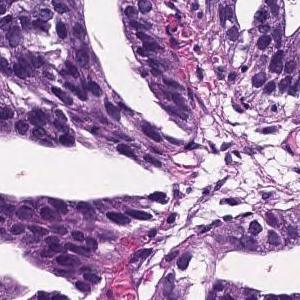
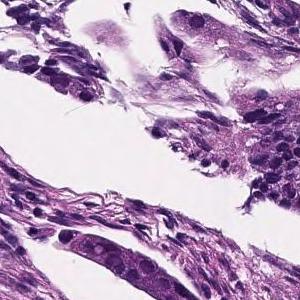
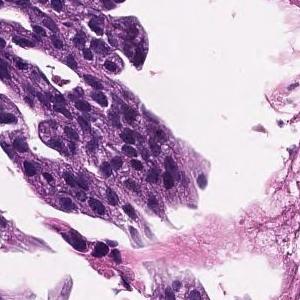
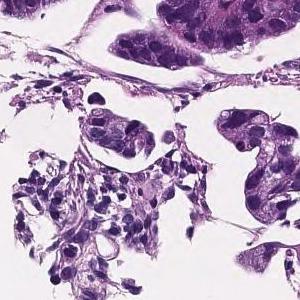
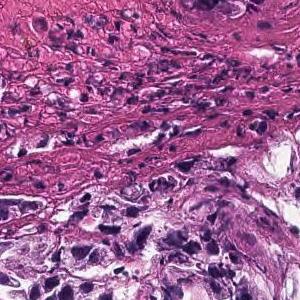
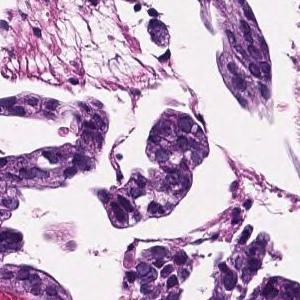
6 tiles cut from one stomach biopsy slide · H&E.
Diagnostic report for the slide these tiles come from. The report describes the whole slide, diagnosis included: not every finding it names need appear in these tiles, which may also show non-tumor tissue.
In the lamina propria, tumor tissue that invades by forming medium-sized to small, irregular glandular ducts is observed. moderately differentiated tubular adenocarcinoma
